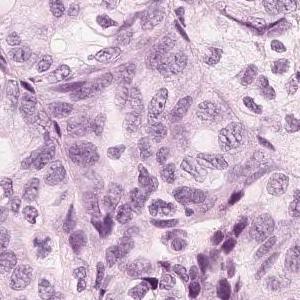
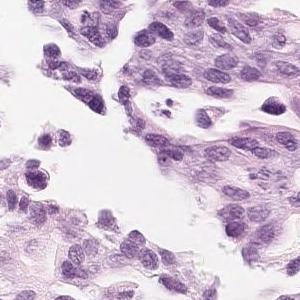
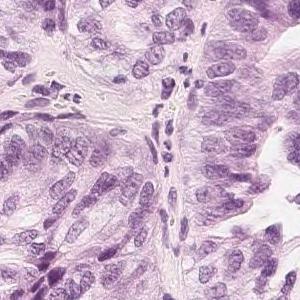
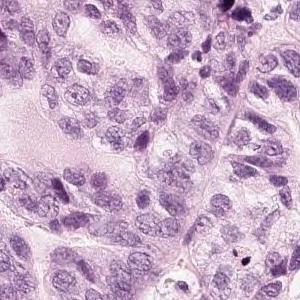
20× magnification, 4 tiles from the same stomach biopsy slide, 300 × 300 pixels each.
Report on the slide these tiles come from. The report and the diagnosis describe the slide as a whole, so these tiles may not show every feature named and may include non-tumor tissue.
Tumor tissue in which medium-sized atypical epithelial cells with a large N/C ratio grow densely while becoming alveolar to cord-like with duct formation is observed. moderately differentiated tubular adenocarcinoma
